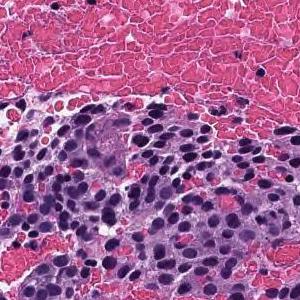
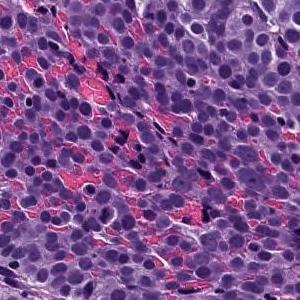
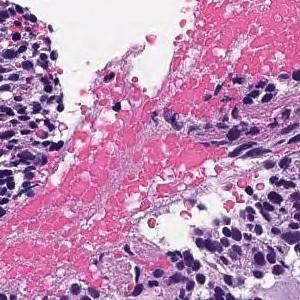
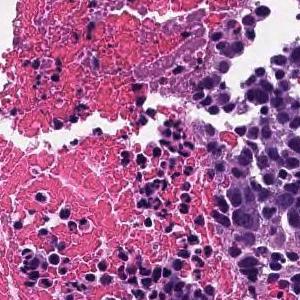
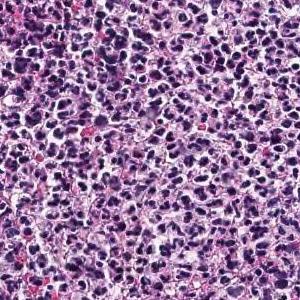
Scanned at ×20 · hematoxylin and eosin stain · 5 image tiles from a single gastric biopsy slide.
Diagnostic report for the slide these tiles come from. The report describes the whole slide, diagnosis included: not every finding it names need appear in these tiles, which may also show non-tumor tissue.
The superficial epithelium shows a large sheet-like shape, and some tumor tissue infiltrates with small irregular ducts. Poorly differentiated adenocarcinoma, solid-type
Histologic type: Poorly differentiated adenocarcinoma, solid type (Japanese Classification of Gastric Carcinoma). The WHO 2019 equivalent is tubular adenocarcinoma, poorly differentiated.
